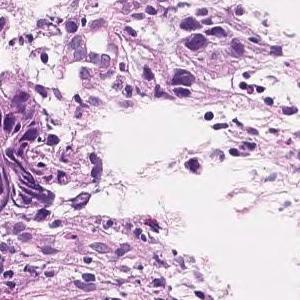
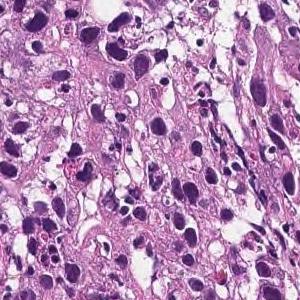
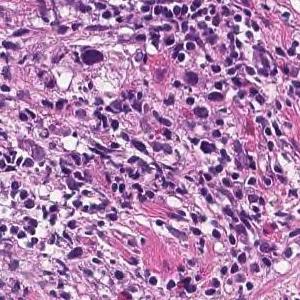
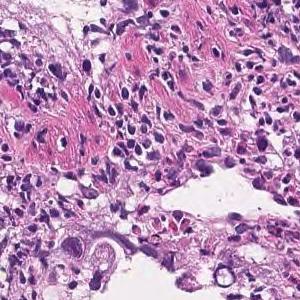
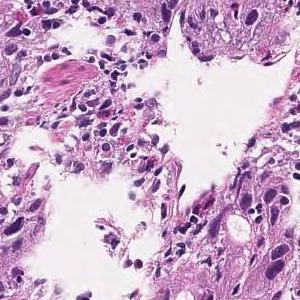
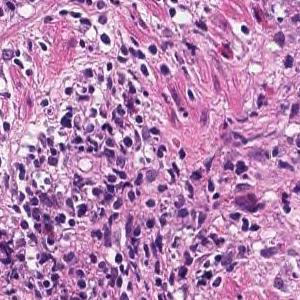
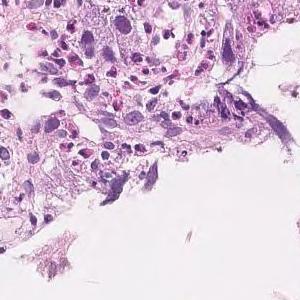
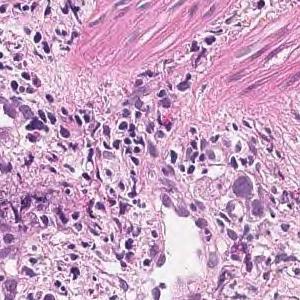
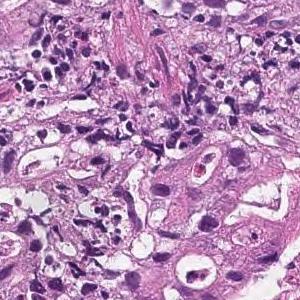
Scanned at ×20; hematoxylin and eosin stain; 9 tiles cut from one stomach biopsy slide; 300 × 300 pixels each.
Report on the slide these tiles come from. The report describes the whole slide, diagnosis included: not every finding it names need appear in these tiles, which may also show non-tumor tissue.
In the superficial epithelium, tumor tissue that invades by forming medium-sized to small, irregular ducts is observed. moderately differentiated tubular adenocarcinoma.
